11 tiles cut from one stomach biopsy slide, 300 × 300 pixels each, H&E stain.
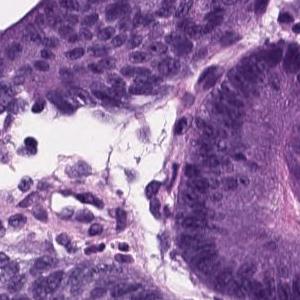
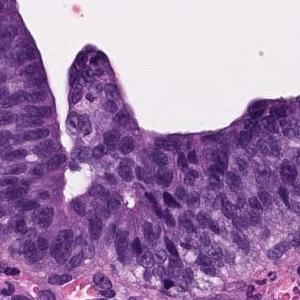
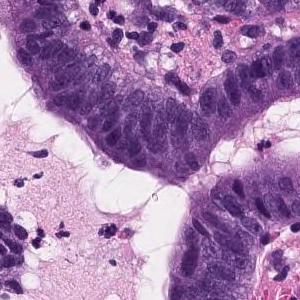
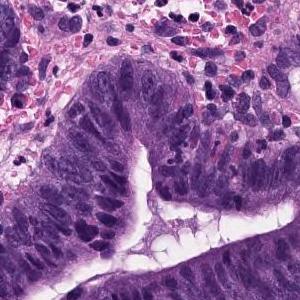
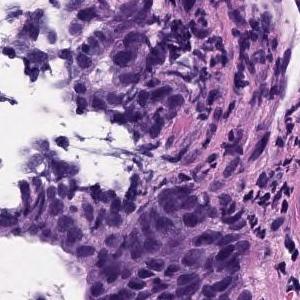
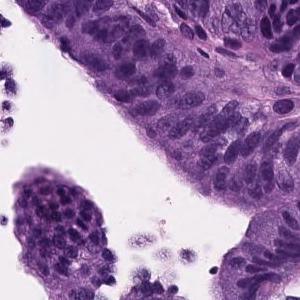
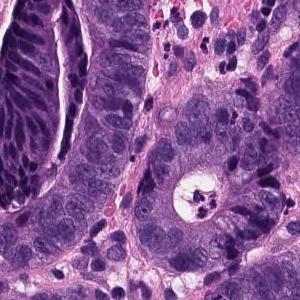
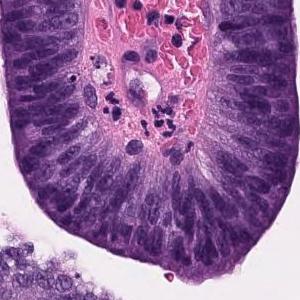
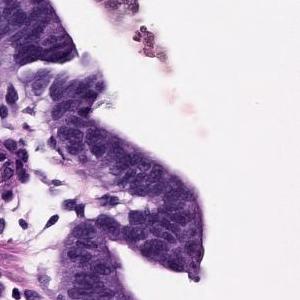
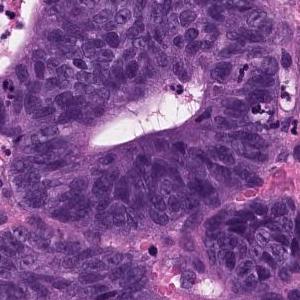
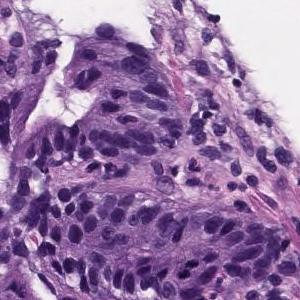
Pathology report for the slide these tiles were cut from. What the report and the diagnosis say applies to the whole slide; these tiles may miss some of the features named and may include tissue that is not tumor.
Papillo-tubular growth of atypical tubules with nuclear swelling is observed. Well differentiated tubular adenocarcinoma
